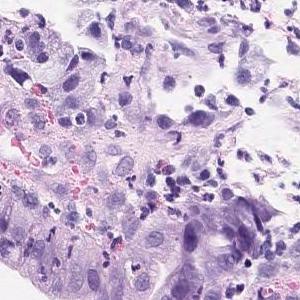
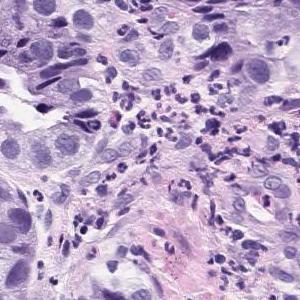
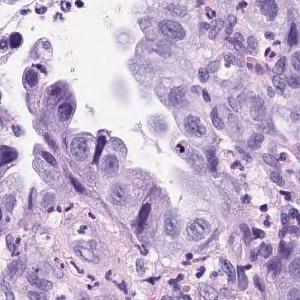
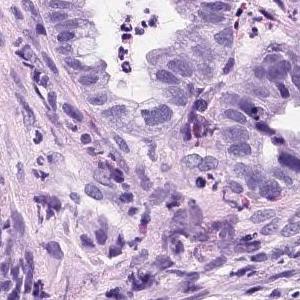
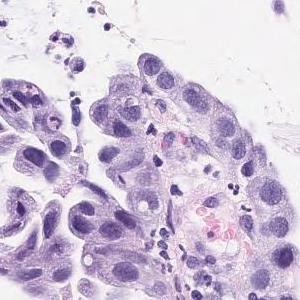
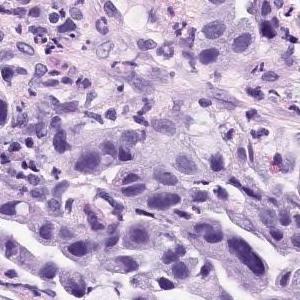
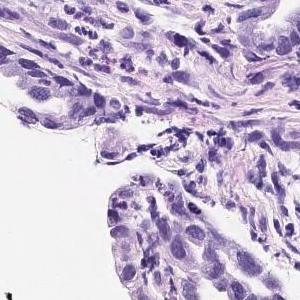
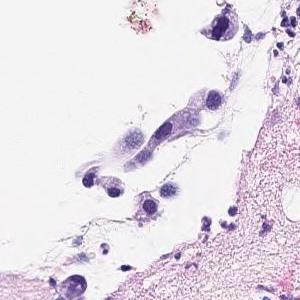
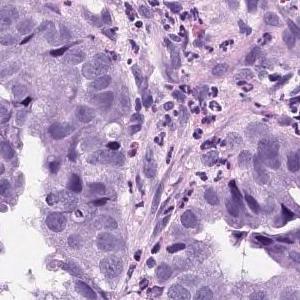
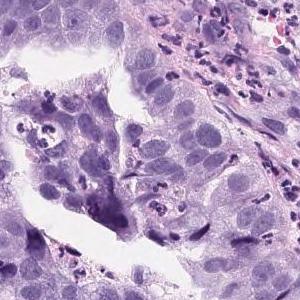
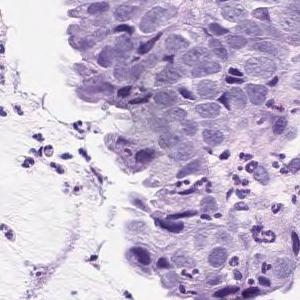
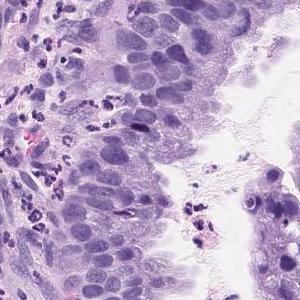
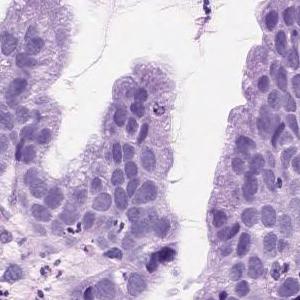
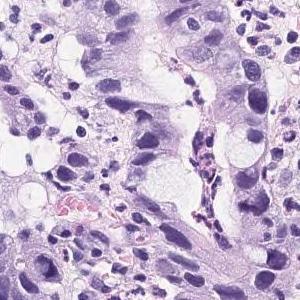
Hematoxylin and eosin stain, 14 tiles cut from one stomach biopsy slide, 300×300 px each.
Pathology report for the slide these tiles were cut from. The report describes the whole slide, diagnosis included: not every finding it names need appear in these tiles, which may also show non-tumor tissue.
Atypical l cells with atypical nuclei forming solid or diffuse vesicles or small irregular atypical ducts and growing in a complex manner. Well differentiated tubular adenocarcinoma
